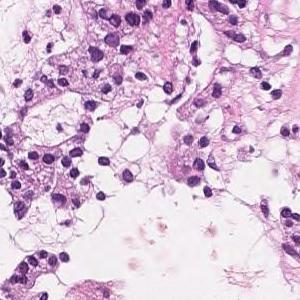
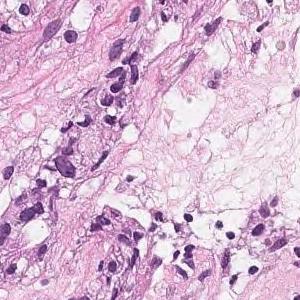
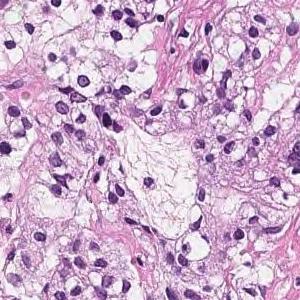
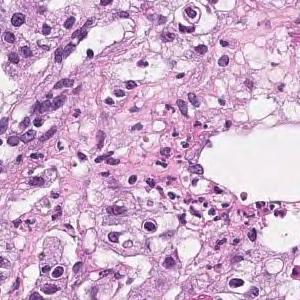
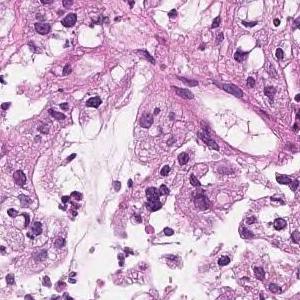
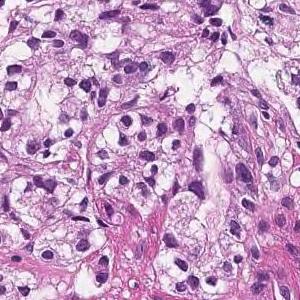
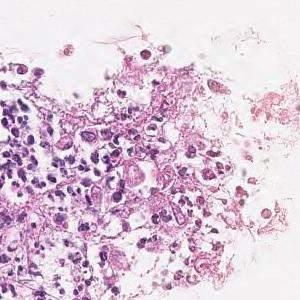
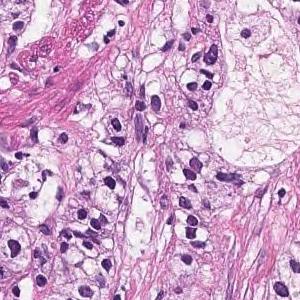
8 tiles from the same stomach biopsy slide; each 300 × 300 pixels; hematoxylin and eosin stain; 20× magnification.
Report on the slide these tiles come from. What the report and the diagnosis say applies to the whole slide; these tiles may miss some of the features named and may include tissue that is not tumor.
In the superficial epithelium, tumor tissue that invades by forming medium-sized to small, irregular ducts is observed. moderately differentiated tubular adenocarcinoma.
